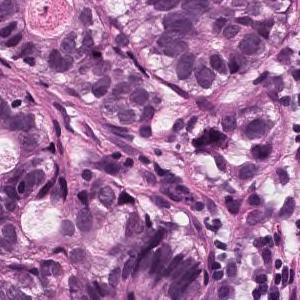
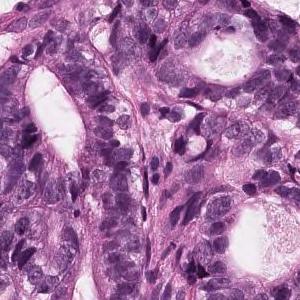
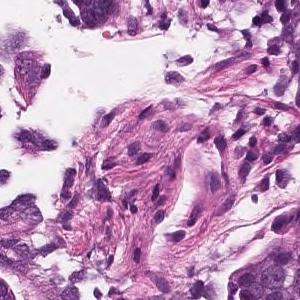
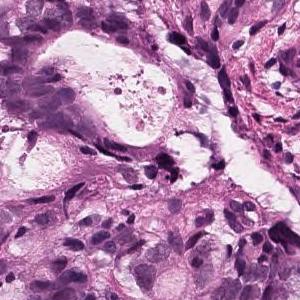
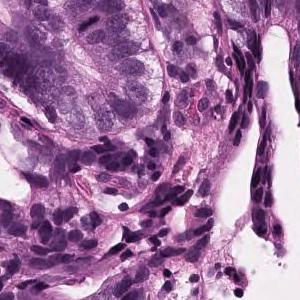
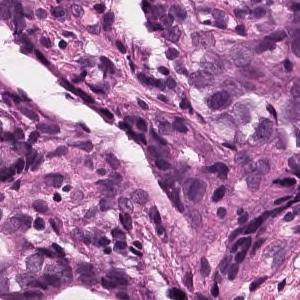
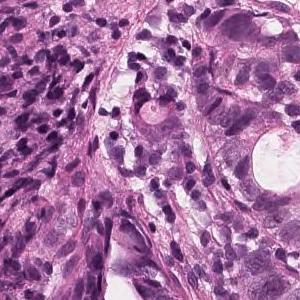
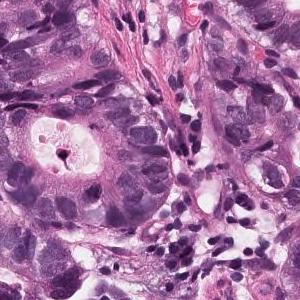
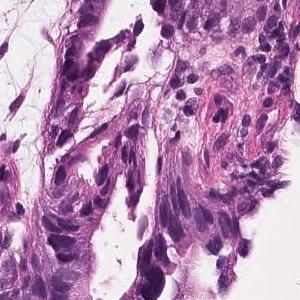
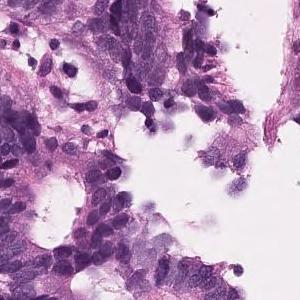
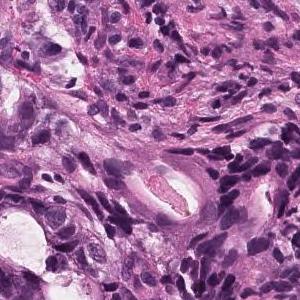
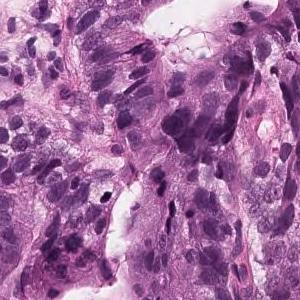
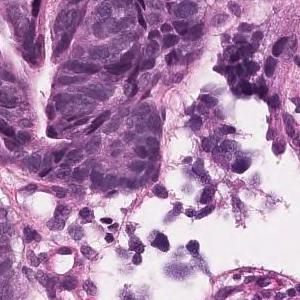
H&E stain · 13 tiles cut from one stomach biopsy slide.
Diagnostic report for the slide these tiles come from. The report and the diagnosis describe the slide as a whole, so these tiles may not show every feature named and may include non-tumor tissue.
On the superficial epithelium, tumor tissue consisting of large, irregular glandular ducts partially fused and infiltrated is observed. Well to moderately differentiated tubular adenocarcinoma (well differentiated tubular adenocarcinoma, moderately differentiated tubular adenocarcinoma)
Tumor subtype: well to moderately differentiated tubular adenocarcinoma.
